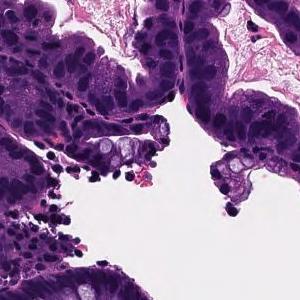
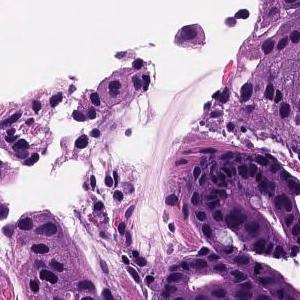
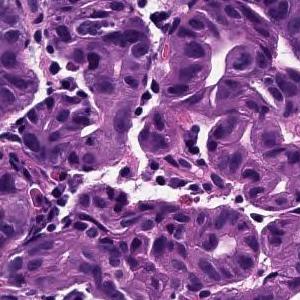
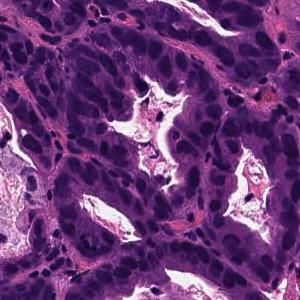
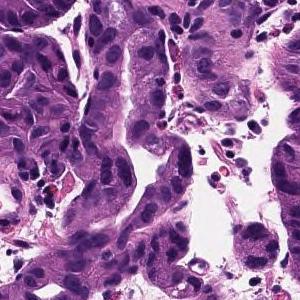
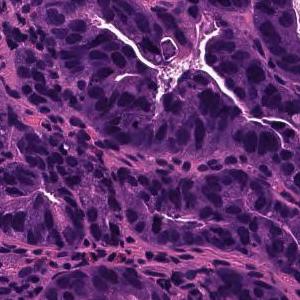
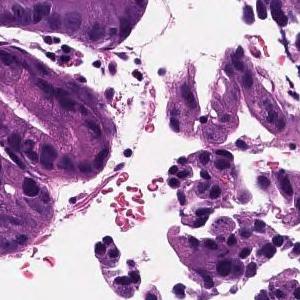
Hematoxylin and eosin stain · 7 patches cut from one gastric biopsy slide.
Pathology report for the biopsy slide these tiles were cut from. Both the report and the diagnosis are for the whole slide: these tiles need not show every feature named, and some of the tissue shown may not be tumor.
On the superficial epithelium, tumor tissue consisting of large irregular glandular ducts partially fused and infiltrated is observed. Well to moderately differentiated tubular adenocarcinoma (well differentiated tubular adenocarcinoma, moderately differentiated tubular adenocarcinoma)
Subtype: Well to moderately differentiated tubular adenocarcinoma.
